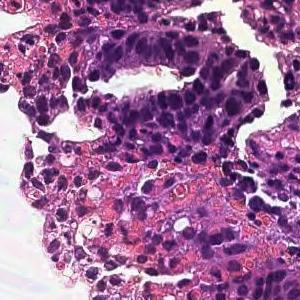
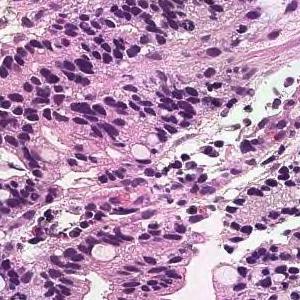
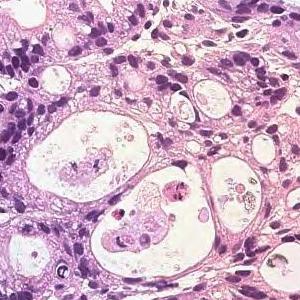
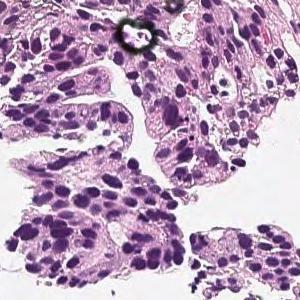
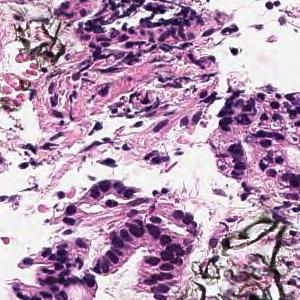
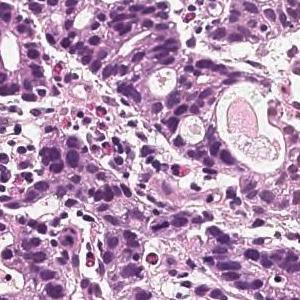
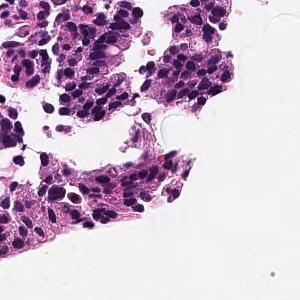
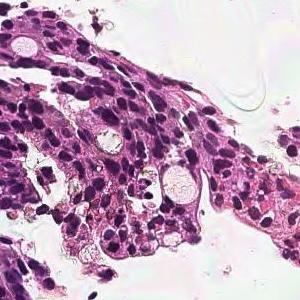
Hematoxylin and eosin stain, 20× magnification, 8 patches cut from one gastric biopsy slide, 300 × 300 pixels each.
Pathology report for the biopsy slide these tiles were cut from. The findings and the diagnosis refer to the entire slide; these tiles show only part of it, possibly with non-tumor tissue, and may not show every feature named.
In the superficial epithelium, tumor tissue that invades by forming medium-sized to small, irregular ducts is observed. moderately differentiated tubular adenocarcinoma.
